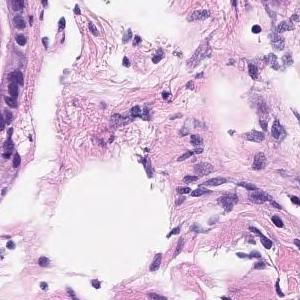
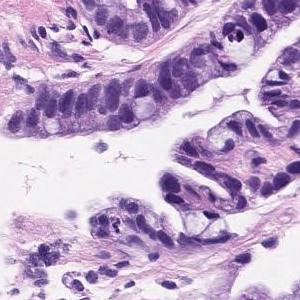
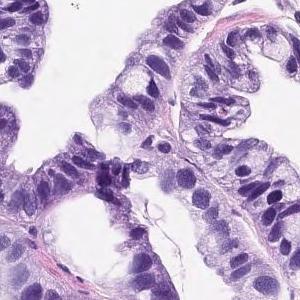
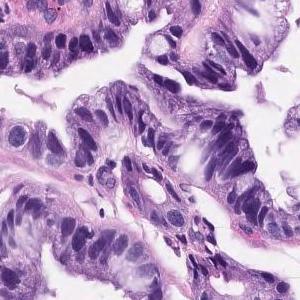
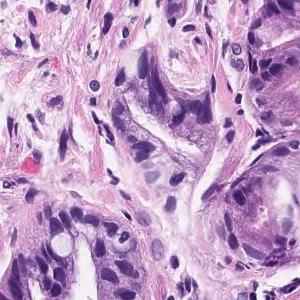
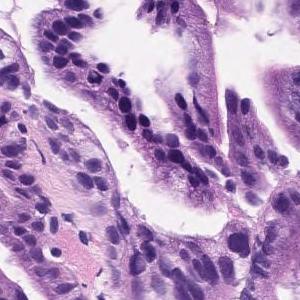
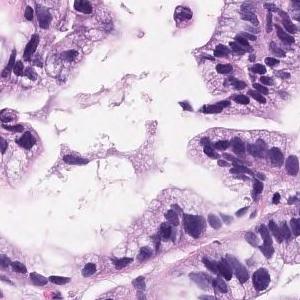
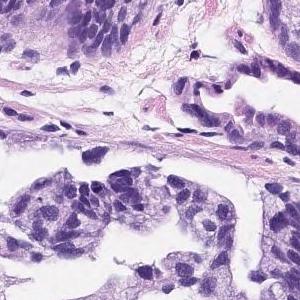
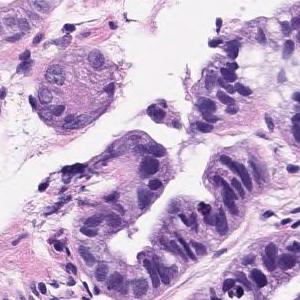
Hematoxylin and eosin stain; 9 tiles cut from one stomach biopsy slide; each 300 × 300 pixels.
Report on the slide these tiles come from. The report and the diagnosis describe the slide as a whole, so these tiles may not show every feature named and may include non-tumor tissue.
The superficial tumors shows large papillary structures or large and small ducts and infiltrates. Papillary adenocarcinoma.
